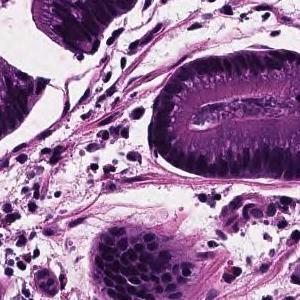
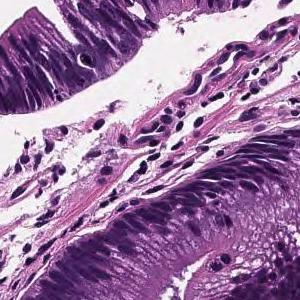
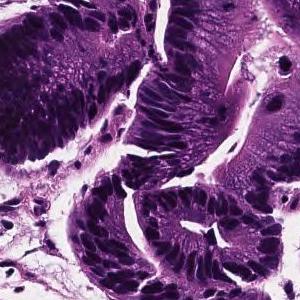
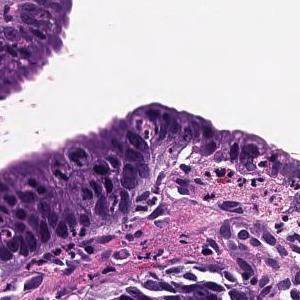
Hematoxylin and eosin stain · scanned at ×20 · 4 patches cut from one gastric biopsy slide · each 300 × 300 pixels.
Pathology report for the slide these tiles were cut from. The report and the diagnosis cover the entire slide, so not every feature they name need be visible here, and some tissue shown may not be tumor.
Tumor cells are large, highly columnar, large club-shaped nuclei, and are associated with chromatin aggregation. Papillary adenocarcinoma.
